4 tiles from the same stomach biopsy slide, each 300 × 300 pixels, 20× magnification.
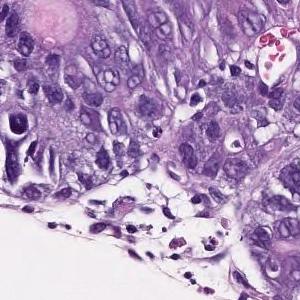
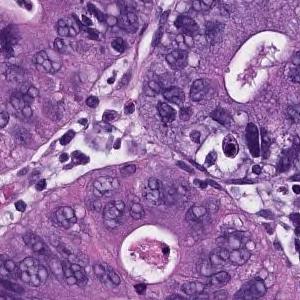
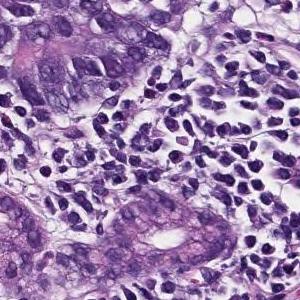
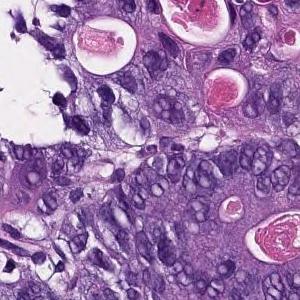
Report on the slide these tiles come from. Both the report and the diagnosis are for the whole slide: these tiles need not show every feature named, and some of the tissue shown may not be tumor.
In the superficial epithelium, tumor tissue that invades by forming medium-sized to small, irregular ducts is observed. moderately differentiated tubular adenocarcinoma.
